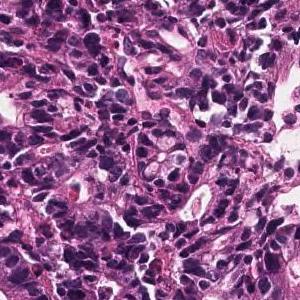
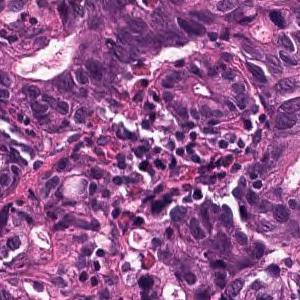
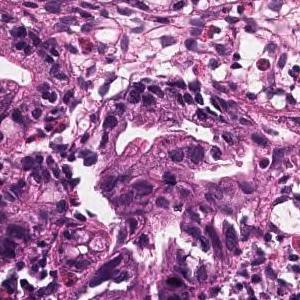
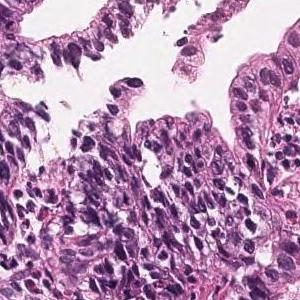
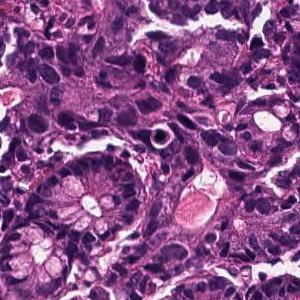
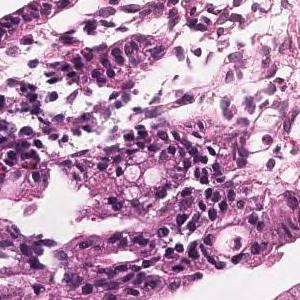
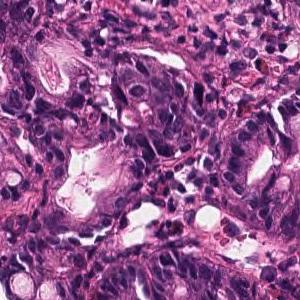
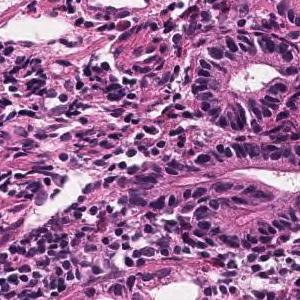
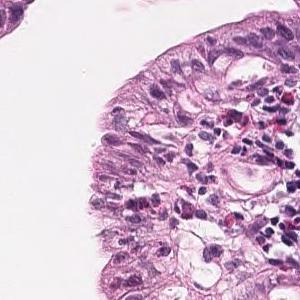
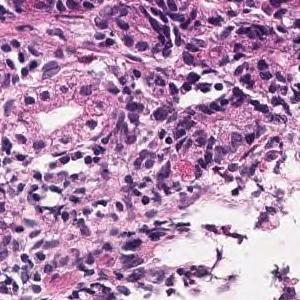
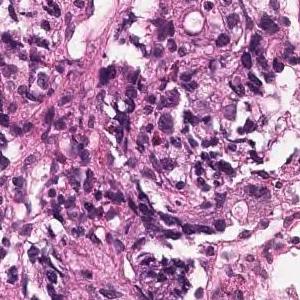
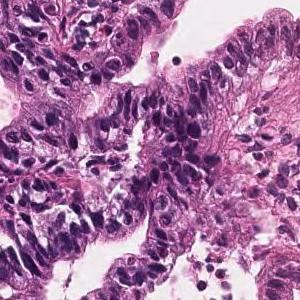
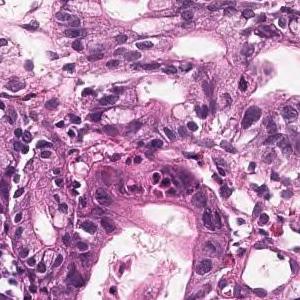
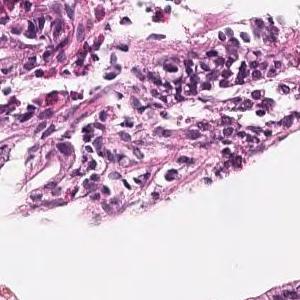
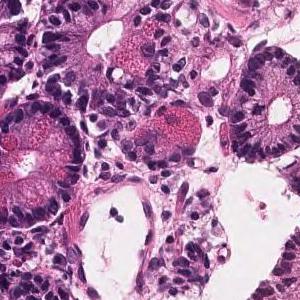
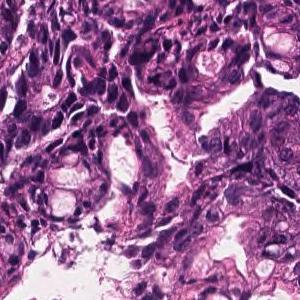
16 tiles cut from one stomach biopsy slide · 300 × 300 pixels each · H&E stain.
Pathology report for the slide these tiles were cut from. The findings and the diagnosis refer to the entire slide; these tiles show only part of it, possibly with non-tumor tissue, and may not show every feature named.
On the superficial epithelium, tumor tissue consisting of large, irregular glandular ducts partially fused and infiltrated is observed. Well to moderately differentiated tubular adenocarcinoma (well differentiated tubular adenocarcinoma, moderately differentiated tubular adenocarcinoma)
Subtype: Well to moderately differentiated tubular adenocarcinoma.
